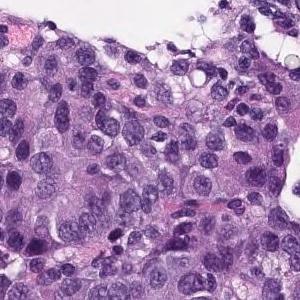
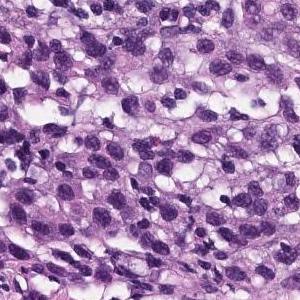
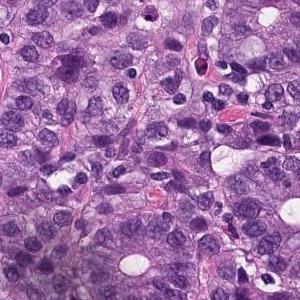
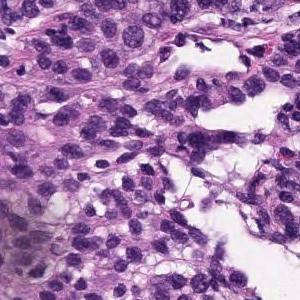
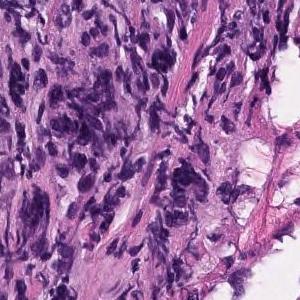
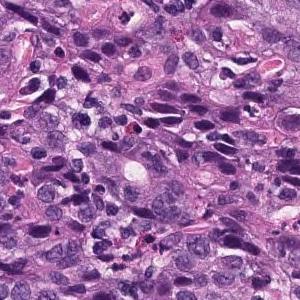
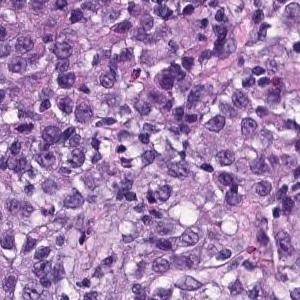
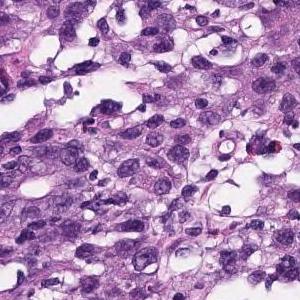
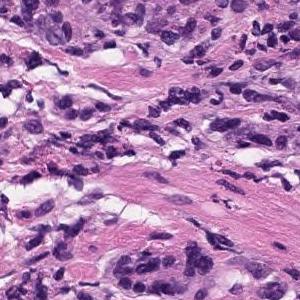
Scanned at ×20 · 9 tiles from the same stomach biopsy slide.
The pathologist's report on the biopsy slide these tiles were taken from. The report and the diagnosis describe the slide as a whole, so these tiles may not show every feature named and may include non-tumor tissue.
In the superficial epithelium, tumor tissue that invades by forming medium-sized to small, irregular ducts is observed. Moderately differentiated adenocarcinoma.
Classified as moderately differentiated tubular adenocarcinoma.
